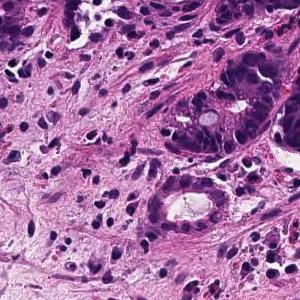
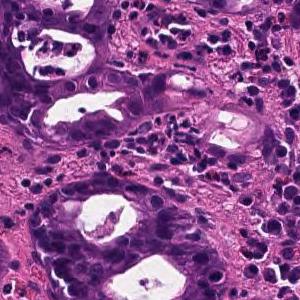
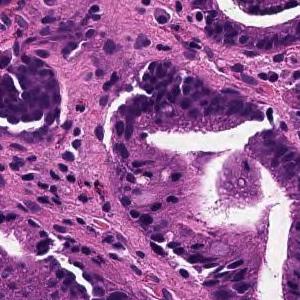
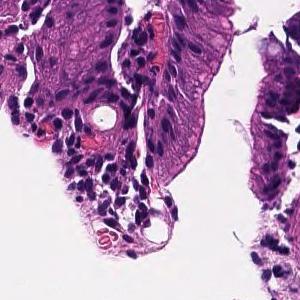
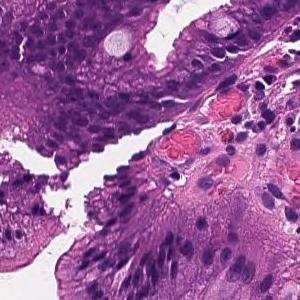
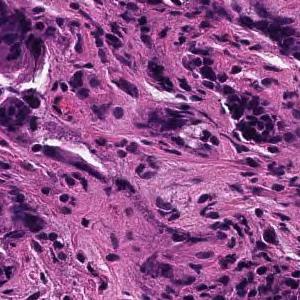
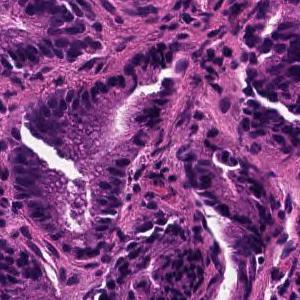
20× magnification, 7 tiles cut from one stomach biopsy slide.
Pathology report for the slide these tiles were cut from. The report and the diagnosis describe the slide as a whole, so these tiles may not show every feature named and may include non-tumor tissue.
From the superficial epithelium to the muscularis mucosae, tumor tissue consisting of medium-sized and irregular glandular ducts infiltrating is observed. Well differentiated tubular adenocarcinoma
